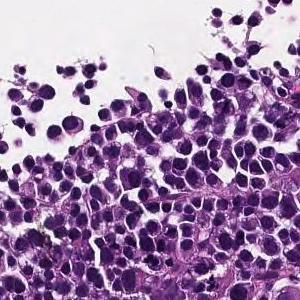
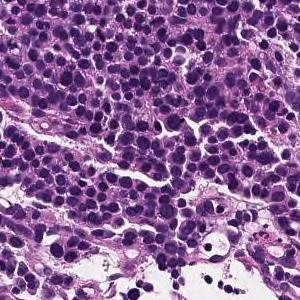
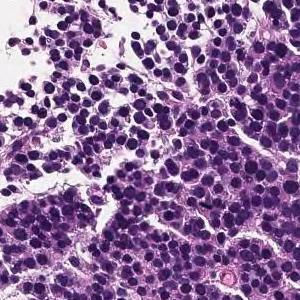
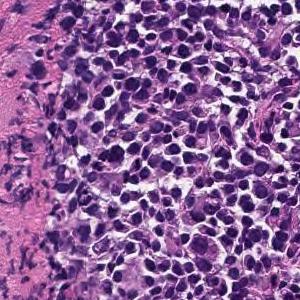
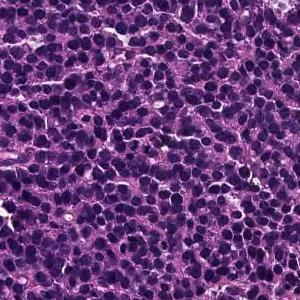
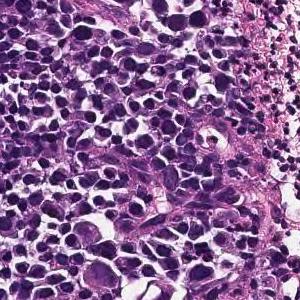
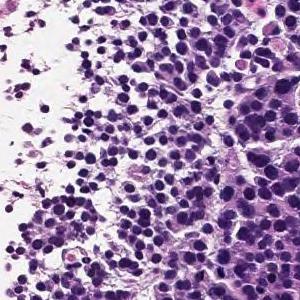
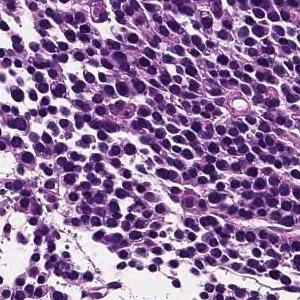
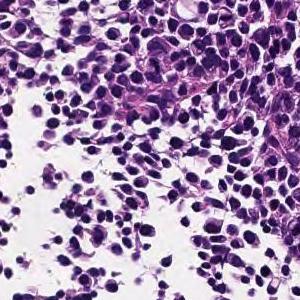
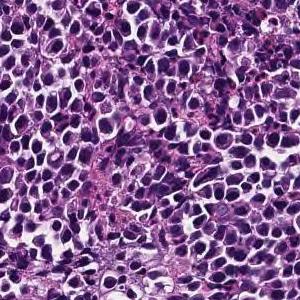
10 patches cut from one gastric biopsy slide; 300×300 px each; H&E stain.
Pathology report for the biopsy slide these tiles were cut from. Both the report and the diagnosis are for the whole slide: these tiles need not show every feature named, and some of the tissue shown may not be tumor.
Large sheet-like or diffusely infiltrating tumor tissue is found in the superficial epithelium. Poorly differentiated adenocarcinoma, solid-type
Classified as poorly differentiated adenocarcinoma, solid type. This name comes from the Japanese Classification of Gastric Carcinoma; the WHO 2019 classification calls it tubular adenocarcinoma, poorly differentiated.
